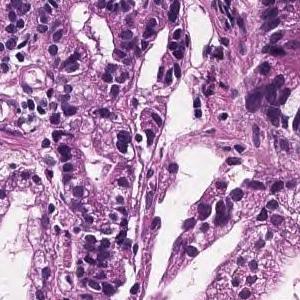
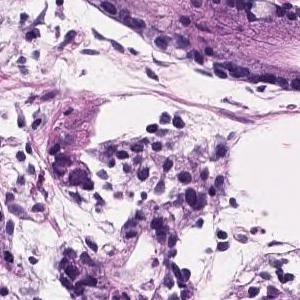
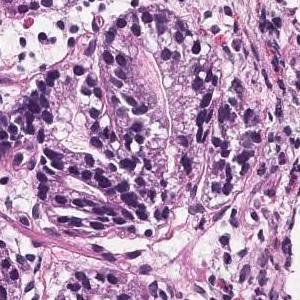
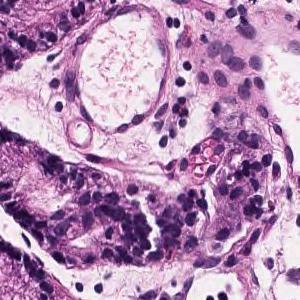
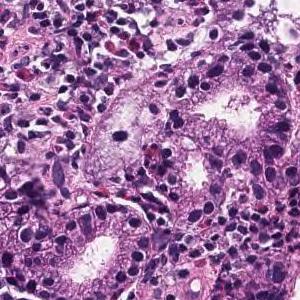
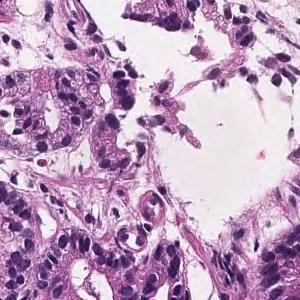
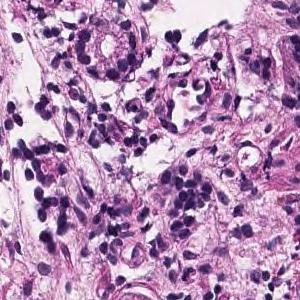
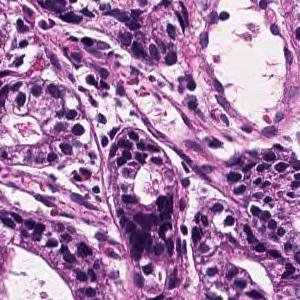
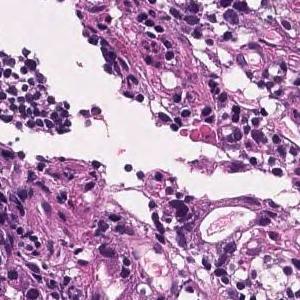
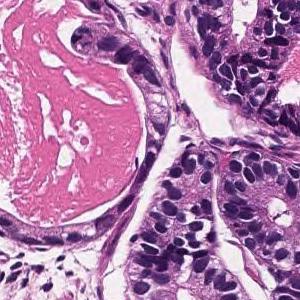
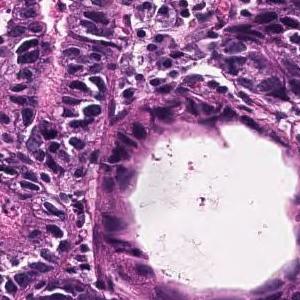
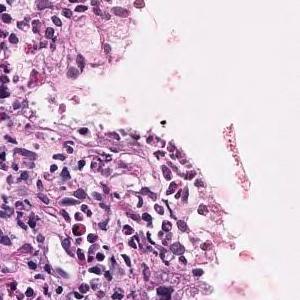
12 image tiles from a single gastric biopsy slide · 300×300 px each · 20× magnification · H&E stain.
Report on the slide these tiles come from. What the report and the diagnosis say applies to the whole slide; these tiles may miss some of the features named and may include tissue that is not tumor.
Tumor tissue consisting of medium-sized and irregular ducts is observed infiltrating in the superficial epithelium. Tumor cells are highly columnar, with nuclei aligned basolaterally and polarized. Well differentiated tubular adenocarcinoma.
